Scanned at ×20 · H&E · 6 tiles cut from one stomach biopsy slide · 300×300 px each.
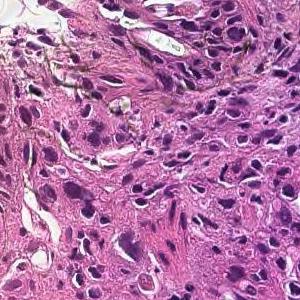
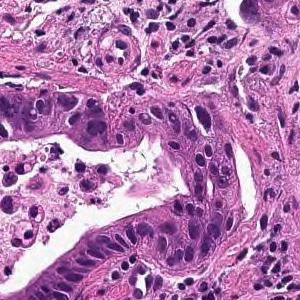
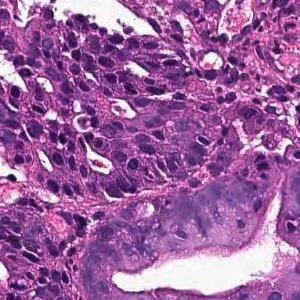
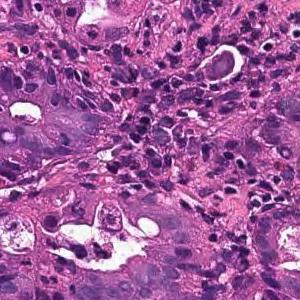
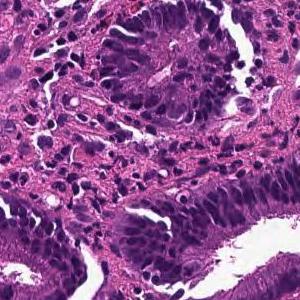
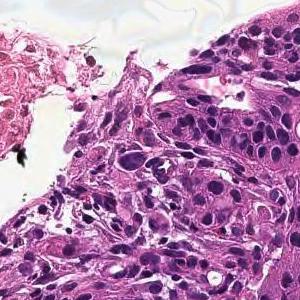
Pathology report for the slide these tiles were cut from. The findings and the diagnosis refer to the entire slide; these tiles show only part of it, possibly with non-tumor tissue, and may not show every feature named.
In the superficial epithelium, tumor tissue that invades by forming medium-sized to small, irregular ducts is observed. moderately differentiated tubular adenocarcinoma.
